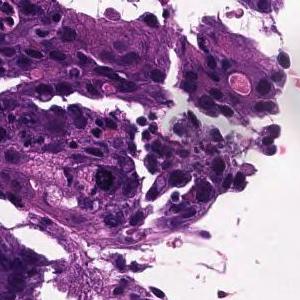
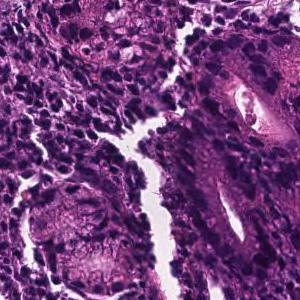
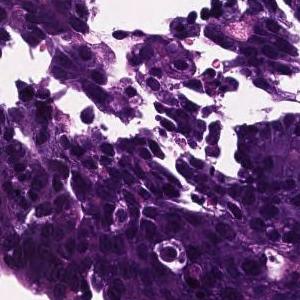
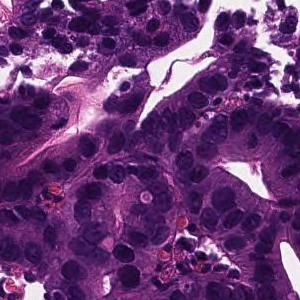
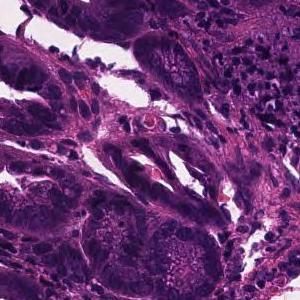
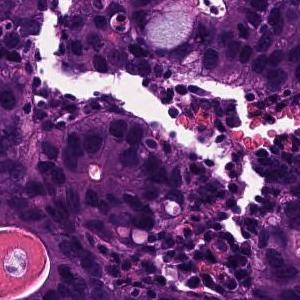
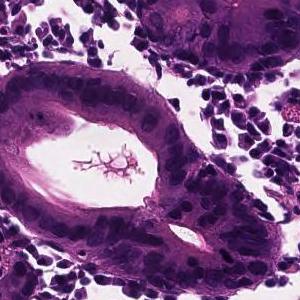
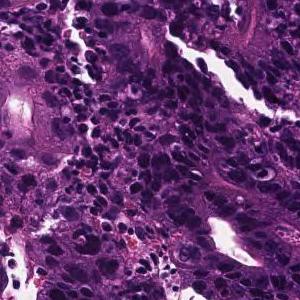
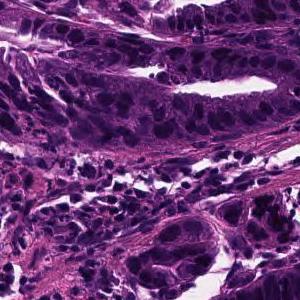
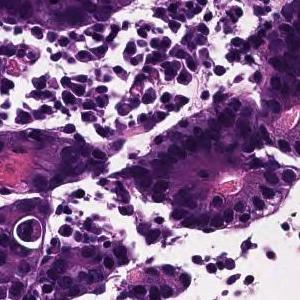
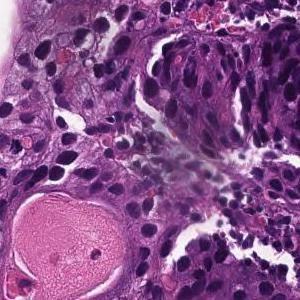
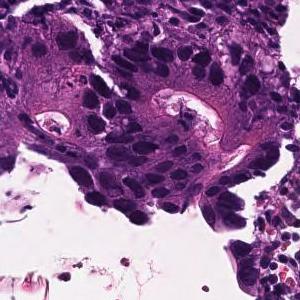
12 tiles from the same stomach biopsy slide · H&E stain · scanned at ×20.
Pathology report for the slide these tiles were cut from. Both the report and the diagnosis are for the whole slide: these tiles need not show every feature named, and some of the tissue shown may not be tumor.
From the superficial epithelium to the muscularis mucosae, tumor tissue infiltrating by forming medium-sized irregular gland ducts is observed. Large tumor cells exhibit large nucleus and hyperchromatism. Well differentiated tubular adenocarcinoma
